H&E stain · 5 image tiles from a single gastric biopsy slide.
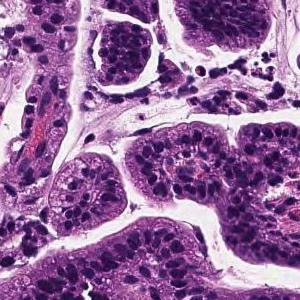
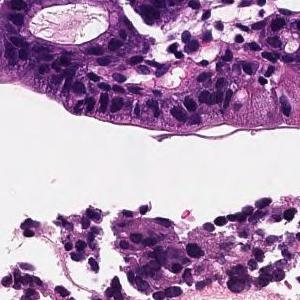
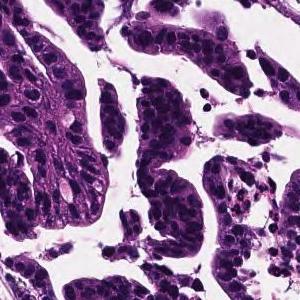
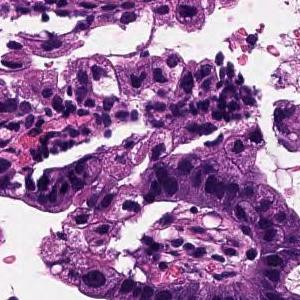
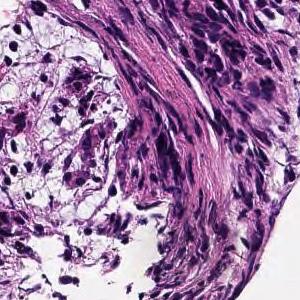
Pathology report for the biopsy slide these tiles were cut from. What the report and the diagnosis say applies to the whole slide; these tiles may miss some of the features named and may include tissue that is not tumor.
On the superficial epithelium, tumor tissue that infiltrates by forming medium-sized papillary or small irregular ducts is observed. Papillary adenocarcinoma
